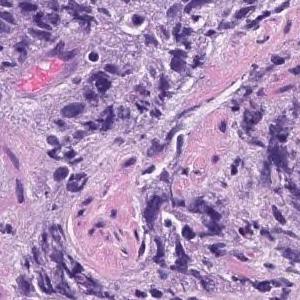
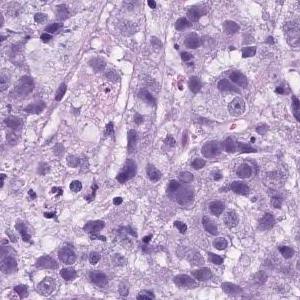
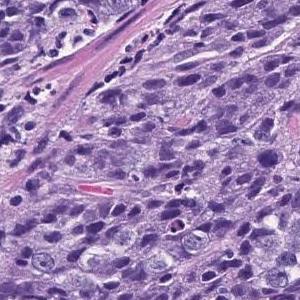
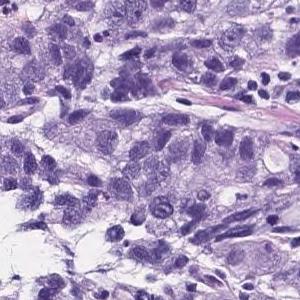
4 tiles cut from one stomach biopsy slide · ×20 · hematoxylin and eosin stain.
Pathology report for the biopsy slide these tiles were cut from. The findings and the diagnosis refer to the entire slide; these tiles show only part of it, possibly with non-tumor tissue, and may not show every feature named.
Atypical l cells with atypical nuclei forming solid vesicles or small irregular atypical ducts that proliferate in a complex manner. poorly differentiated adenocarcinoma, solid type, moderately differentiated tubular adenocarcinoma
"Solid type" is a category of the Japanese Classification of Gastric Carcinoma; in the WHO 2019 classification it is tubular adenocarcinoma, poorly differentiated.
